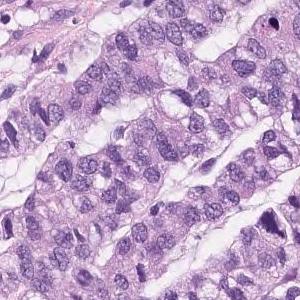
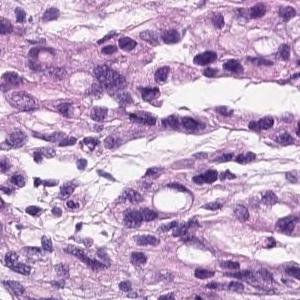
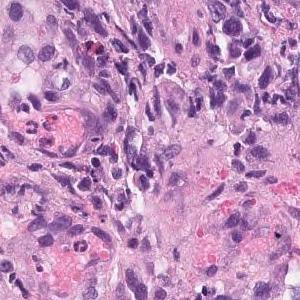
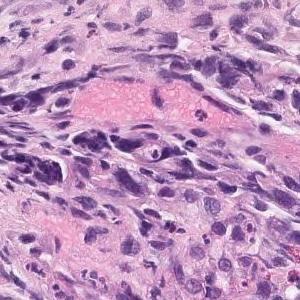
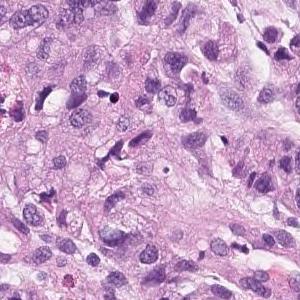
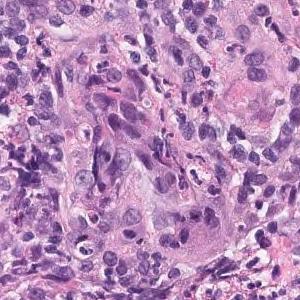
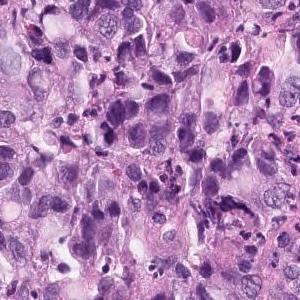
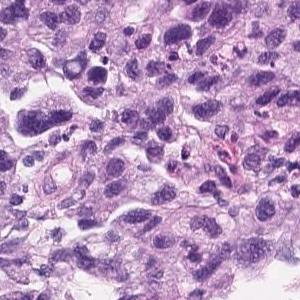
8 patches cut from one gastric biopsy slide, 300 × 300 pixels each, H&E stain.
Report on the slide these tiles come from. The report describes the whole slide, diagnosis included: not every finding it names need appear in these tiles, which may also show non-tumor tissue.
Group 5, Adenocarcinoma. Poorly differentiated adenocarcinoma, non-solid type
"Non-solid type" is a category of the Japanese Classification of Gastric Carcinoma.
